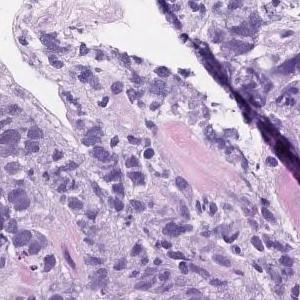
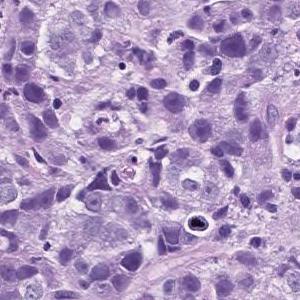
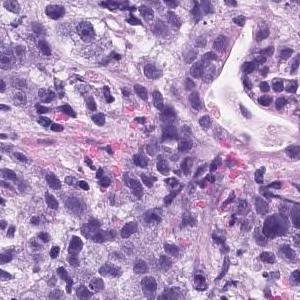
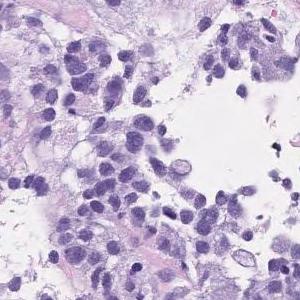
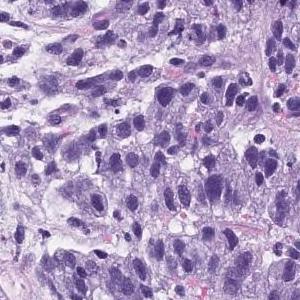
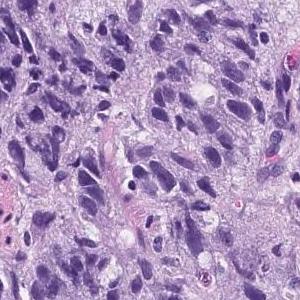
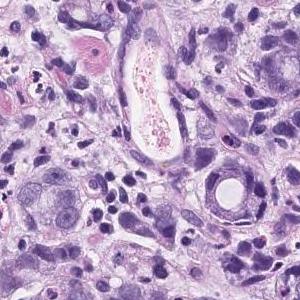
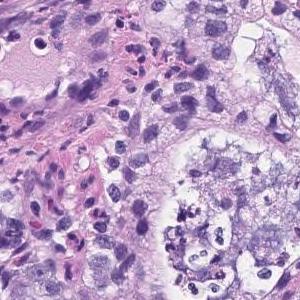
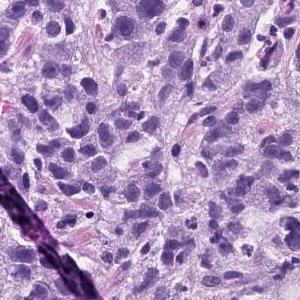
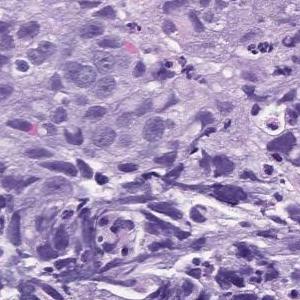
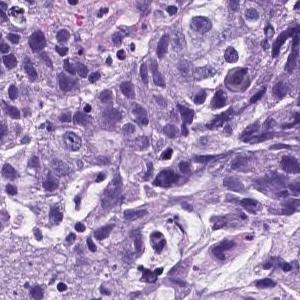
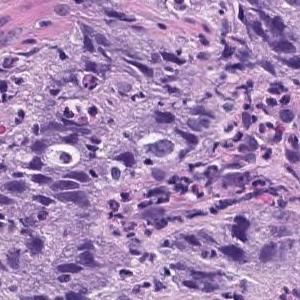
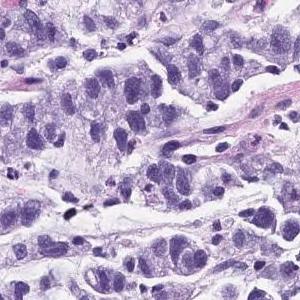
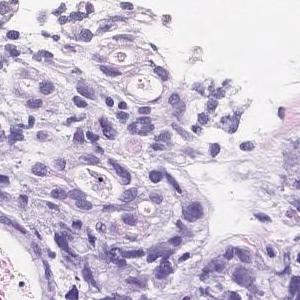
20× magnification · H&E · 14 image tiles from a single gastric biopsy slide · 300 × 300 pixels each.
Pathology report for the slide these tiles were cut from. Both the report and the diagnosis are for the whole slide: these tiles need not show every feature named, and some of the tissue shown may not be tumor.
Atypical l cells with atypical nuclei forming solid vesicles or small irregular atypical ducts that proliferate in a complex manner. poorly differentiated adenocarcinoma, solid type, moderately differentiated tubular adenocarcinoma
The term "solid type" comes from the Japanese Classification of Gastric Carcinoma; the WHO 2019 equivalent is tubular adenocarcinoma, poorly differentiated.
